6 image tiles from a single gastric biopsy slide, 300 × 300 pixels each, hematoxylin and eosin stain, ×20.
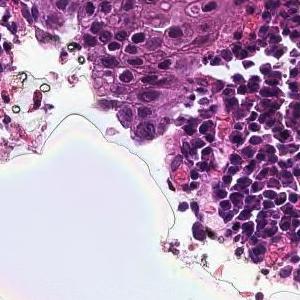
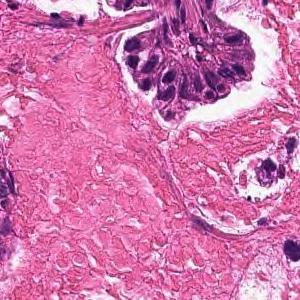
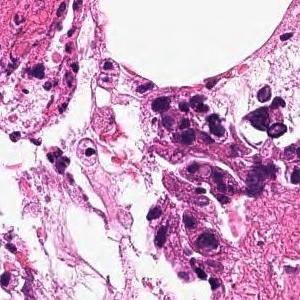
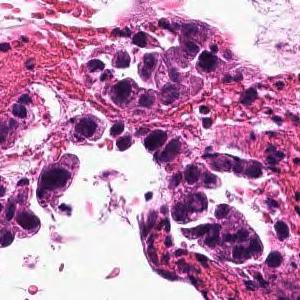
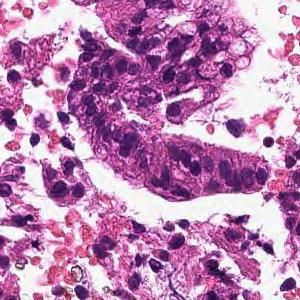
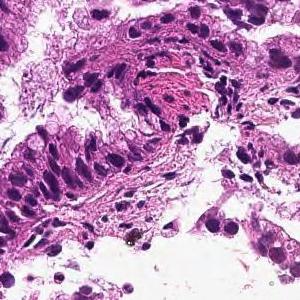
Pathology report for the slide these tiles were cut from. The report describes the whole slide, diagnosis included: not every finding it names need appear in these tiles, which may also show non-tumor tissue.
From the superficial epithelium to the muscularis mucosae, tumor tissue infiltrating by forming medium-sized irregular gland ducts is observed. Well differentiated tubular adenocarcinoma
